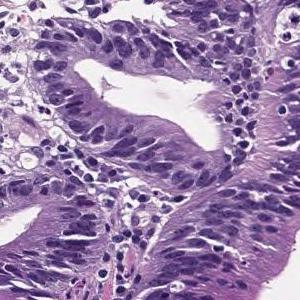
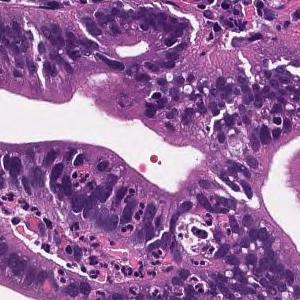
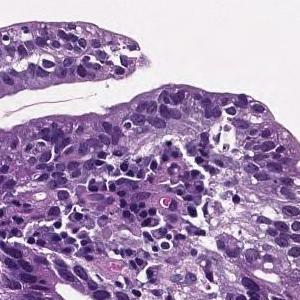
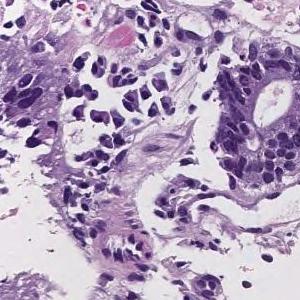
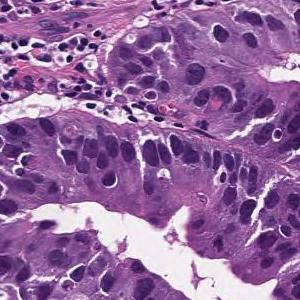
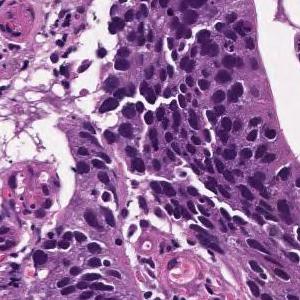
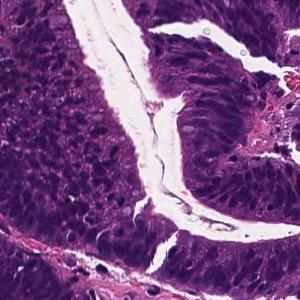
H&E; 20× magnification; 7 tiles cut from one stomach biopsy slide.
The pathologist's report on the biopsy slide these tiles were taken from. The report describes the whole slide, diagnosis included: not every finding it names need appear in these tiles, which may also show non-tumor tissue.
Tumor cells are large, highly columnar, large club-shaped nuclei, and are associated with chromatin aggregation. Papillary adenocarcinoma.
